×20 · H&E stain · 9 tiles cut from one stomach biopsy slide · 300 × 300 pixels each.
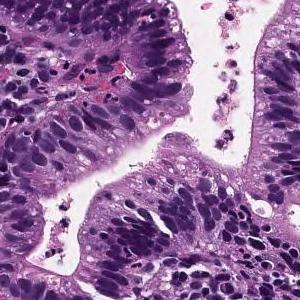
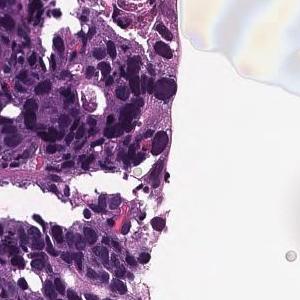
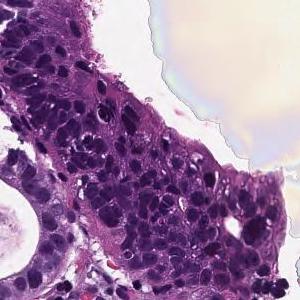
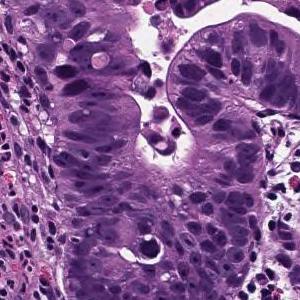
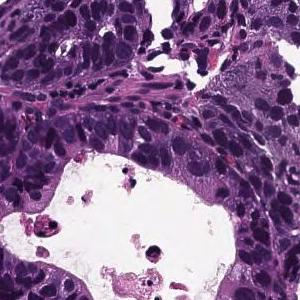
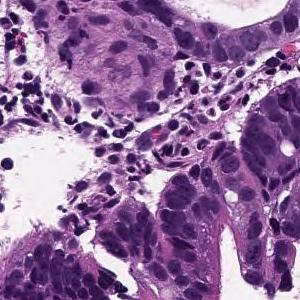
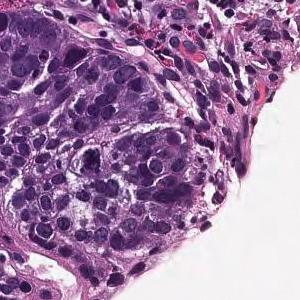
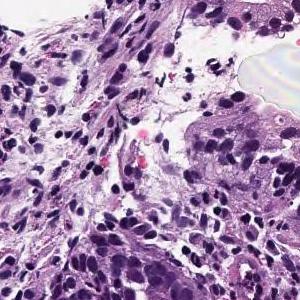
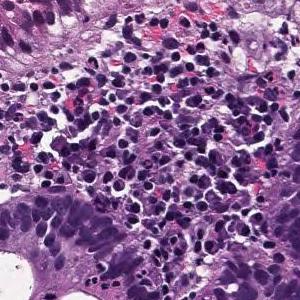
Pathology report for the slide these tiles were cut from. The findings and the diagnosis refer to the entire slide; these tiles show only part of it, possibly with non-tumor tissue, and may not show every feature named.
From the superficial epithelium to the muscularis mucosae, tumor tissue consisting of medium-sized and irregular glandular ducts infiltrating is observed. Well differentiated tubular adenocarcinoma
